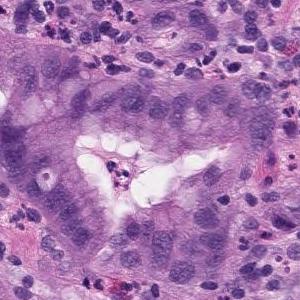
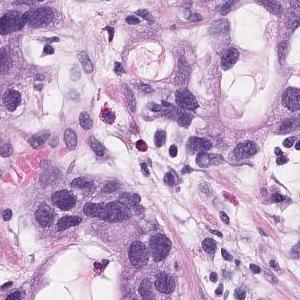
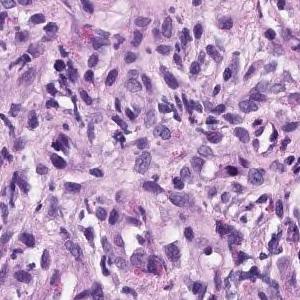
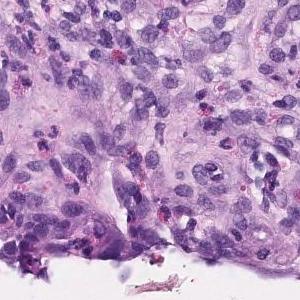
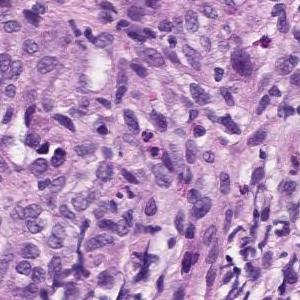
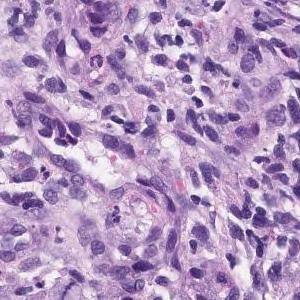
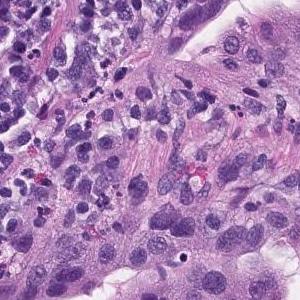
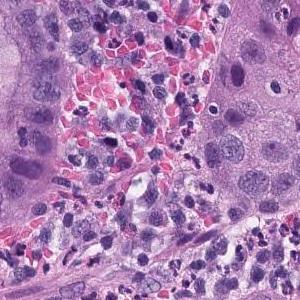
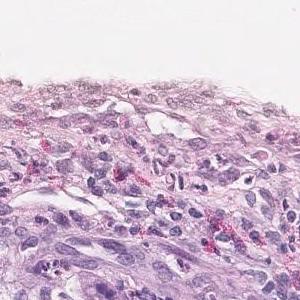
H&E, scanned at ×20, 9 patches cut from one gastric biopsy slide, 300×300 px each.
Report on the slide these tiles come from. The report and the diagnosis describe the slide as a whole, so these tiles may not show every feature named and may include non-tumor tissue.
Group 5, Adenocarcinoma. Moderately to poorly differentiated adenocarcinoma
